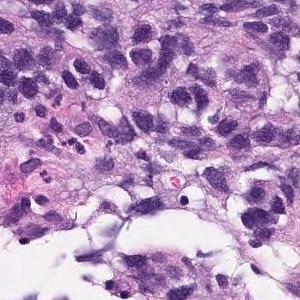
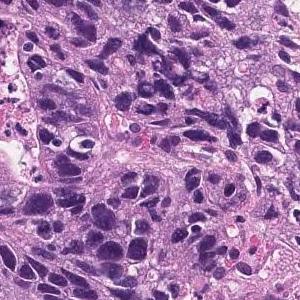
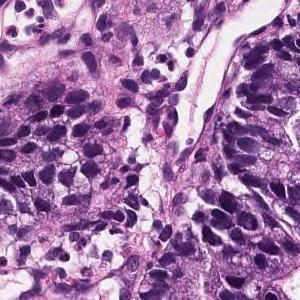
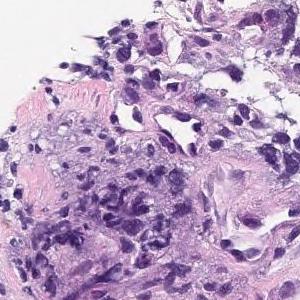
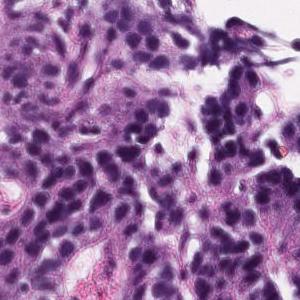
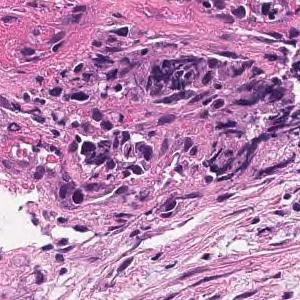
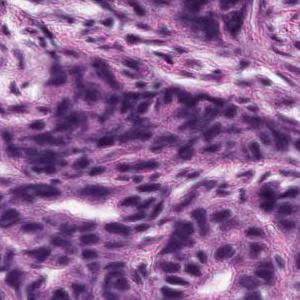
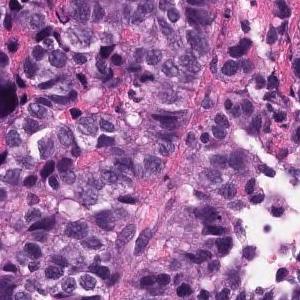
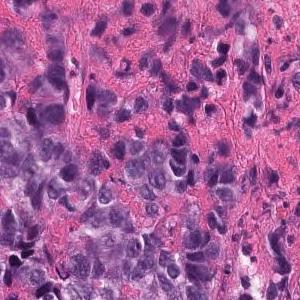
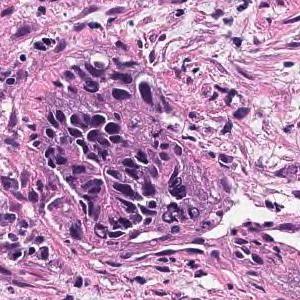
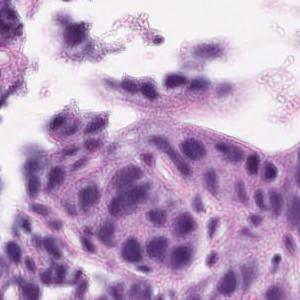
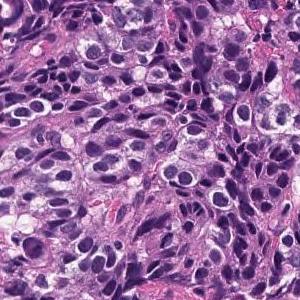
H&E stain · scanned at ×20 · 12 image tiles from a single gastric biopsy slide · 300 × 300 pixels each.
Report on the slide these tiles come from. The findings and the diagnosis refer to the entire slide; these tiles show only part of it, possibly with non-tumor tissue, and may not show every feature named.
Medium to small, irregular glandular ducts are formed in the superficial epithelium, and in some cases, the glandular ducts are fused to show solid alveolar lesions and infiltrating tumor tissue is observed. Moderately to poorly differentiated adenocarcinoma.
